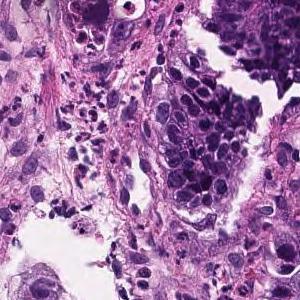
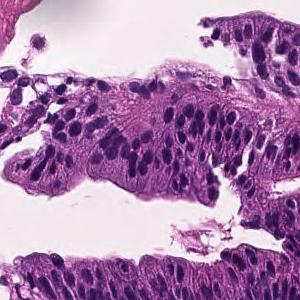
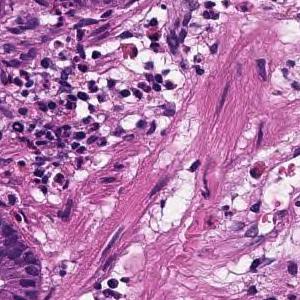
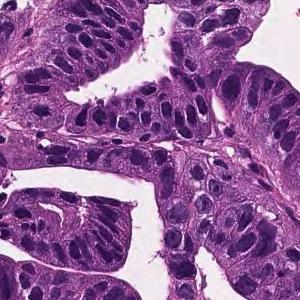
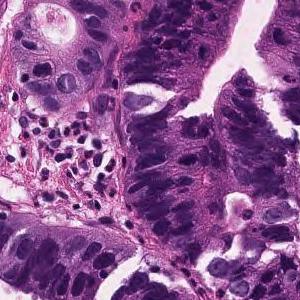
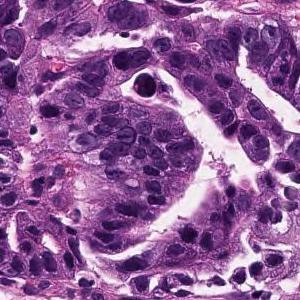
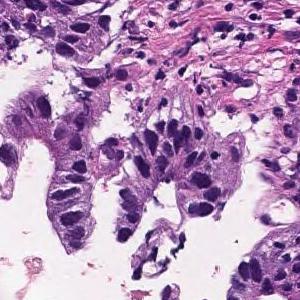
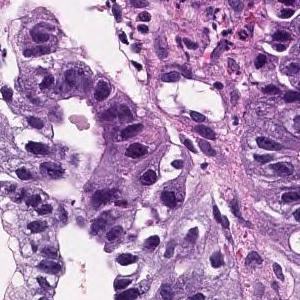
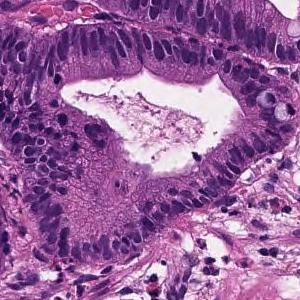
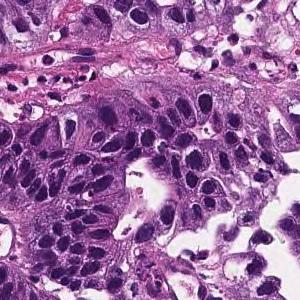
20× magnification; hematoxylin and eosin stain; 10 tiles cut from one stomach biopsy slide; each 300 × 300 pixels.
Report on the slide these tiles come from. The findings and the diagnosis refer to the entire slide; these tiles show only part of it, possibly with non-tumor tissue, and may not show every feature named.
Tumor cells are large, highly columnar, large club-shaped nuclei, and are associated with chromatin aggregation. Papillary adenocarcinoma.
